7 image tiles from a single gastric biopsy slide.
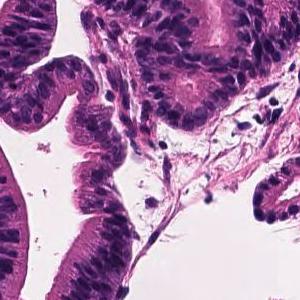
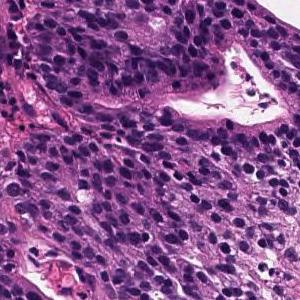
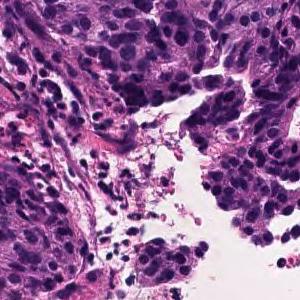
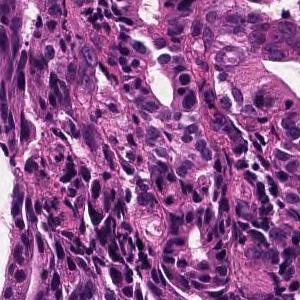
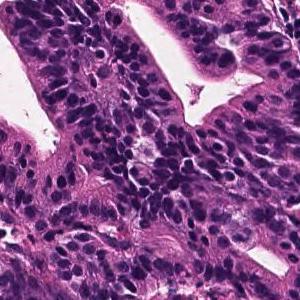
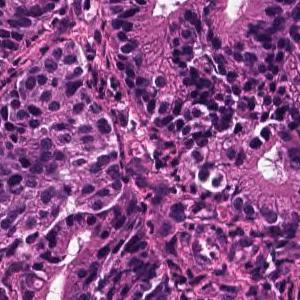
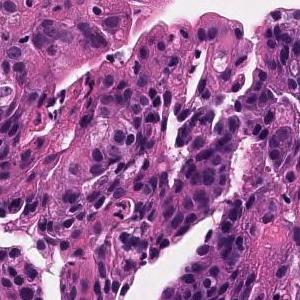
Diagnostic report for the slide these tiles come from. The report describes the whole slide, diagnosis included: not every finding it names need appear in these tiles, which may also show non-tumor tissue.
In the superficial epithelium, tumor tissue that invades by forming medium-sized to small, irregular ducts is observed. Moderately differentiated adenocarcinoma.
Histologic type: Moderately differentiated tubular adenocarcinoma.
